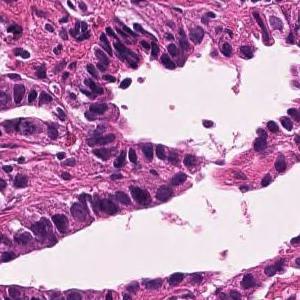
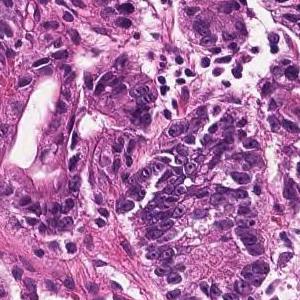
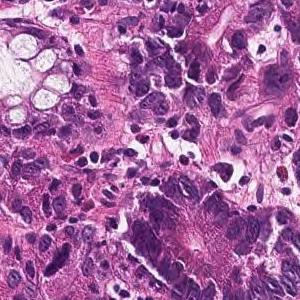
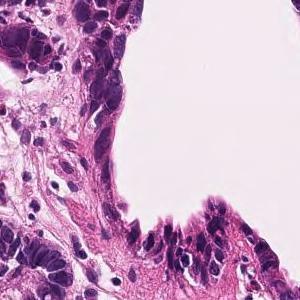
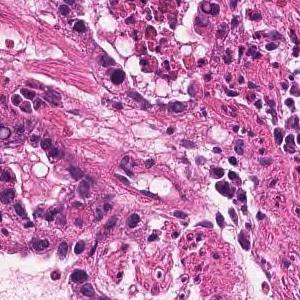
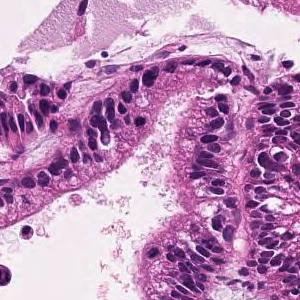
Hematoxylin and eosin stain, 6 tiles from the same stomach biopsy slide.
Pathology report for the slide these tiles were cut from. The report and the diagnosis describe the slide as a whole, so these tiles may not show every feature named and may include non-tumor tissue.
In the superficial epithelium, tumor tissue that invades by forming medium-sized to small, irregular ducts is observed. moderately differentiated tubular adenocarcinoma.
